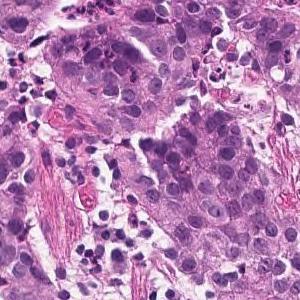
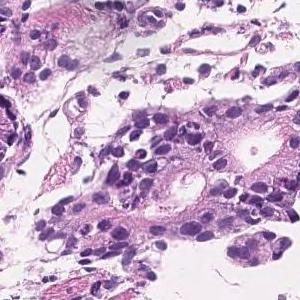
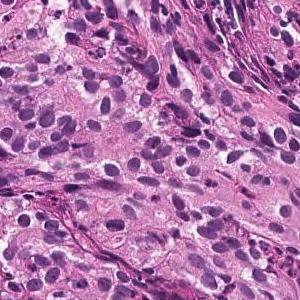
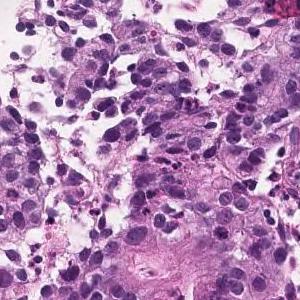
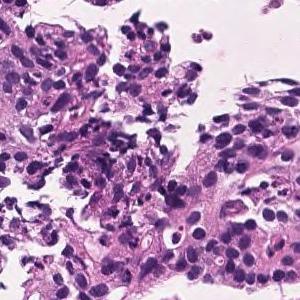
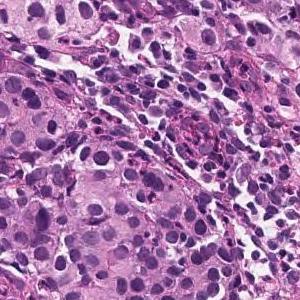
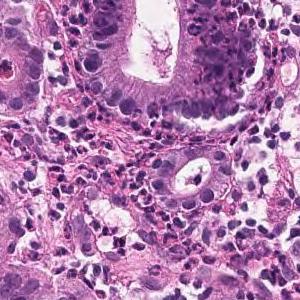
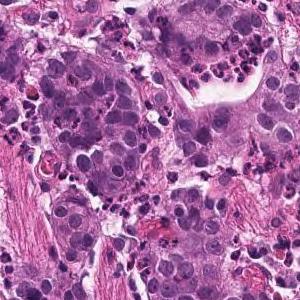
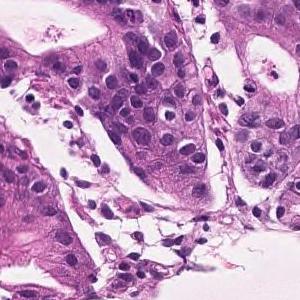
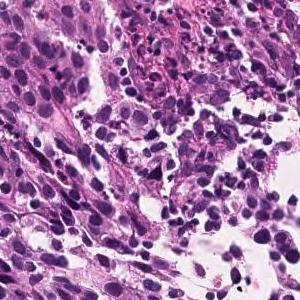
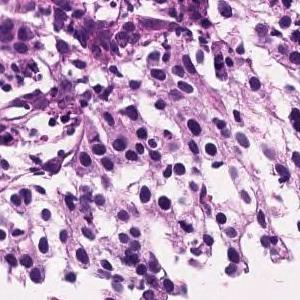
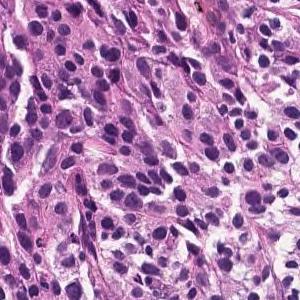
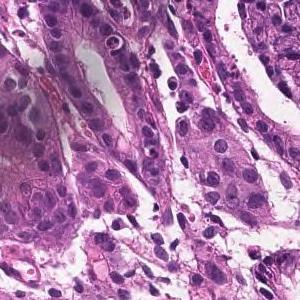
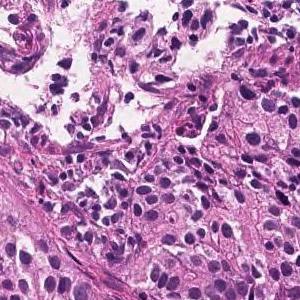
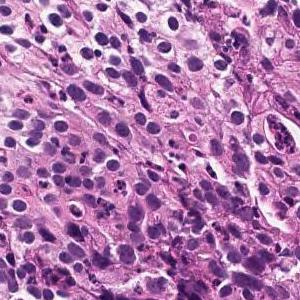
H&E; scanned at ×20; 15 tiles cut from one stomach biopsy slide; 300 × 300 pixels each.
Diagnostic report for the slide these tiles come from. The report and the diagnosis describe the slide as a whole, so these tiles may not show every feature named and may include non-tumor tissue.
Medium to small, irregular glandular ducts are formed in the superficial epithelium, and in some cases, the glandular ducts are fused to show solid alveolar lesions and infiltrating tumor tissue is observed. Moderately to poorly differentiated adenocarcinoma.
